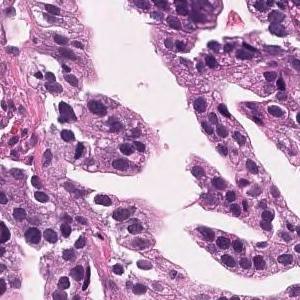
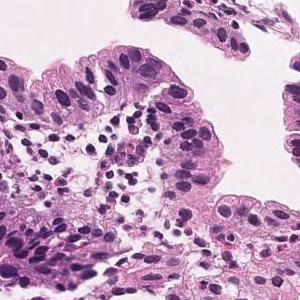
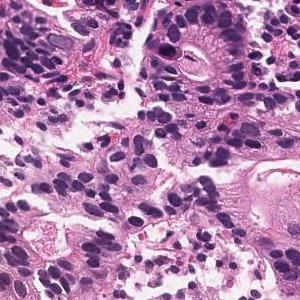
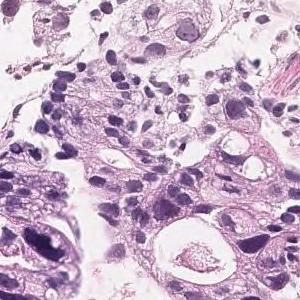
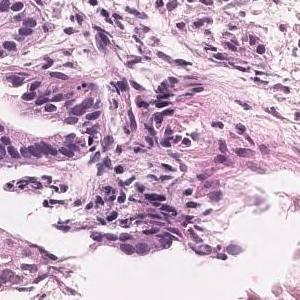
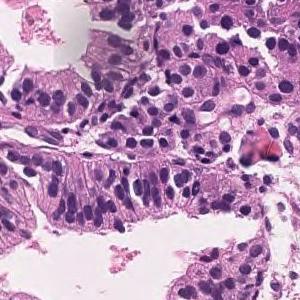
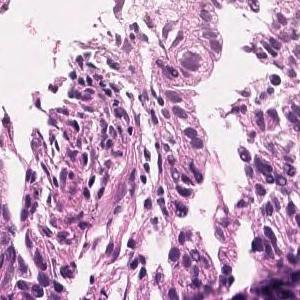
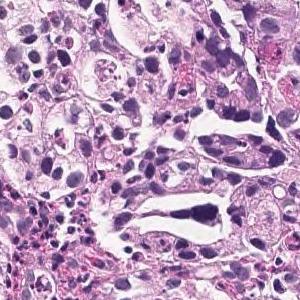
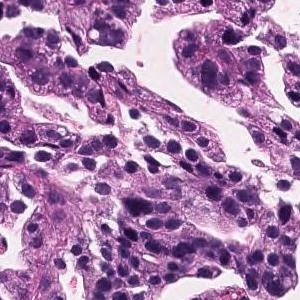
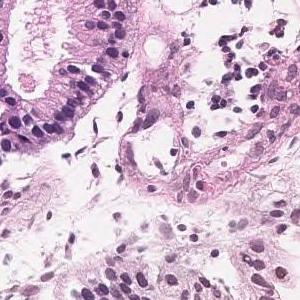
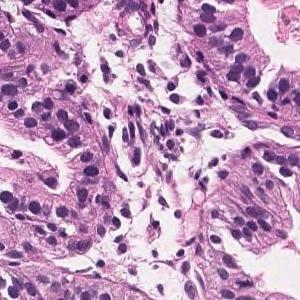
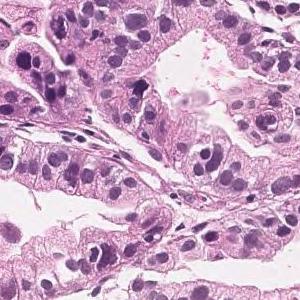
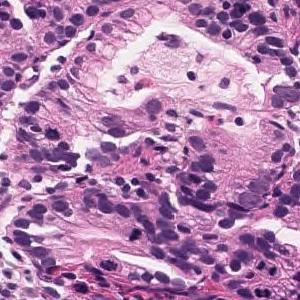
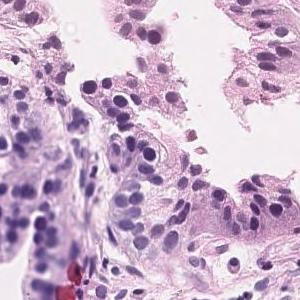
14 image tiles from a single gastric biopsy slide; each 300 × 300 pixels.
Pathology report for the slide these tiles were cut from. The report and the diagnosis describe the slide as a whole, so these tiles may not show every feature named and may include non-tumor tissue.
In the superficial epithelium, tumor tissue that invades by forming medium-sized to small, irregular ducts is observed. moderately differentiated tubular adenocarcinoma.
